13 patches cut from one gastric biopsy slide · 300×300 px each.
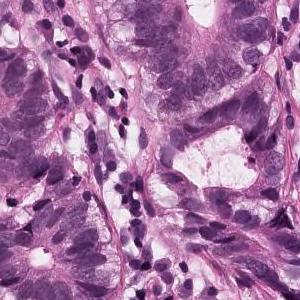
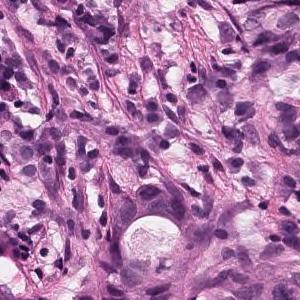
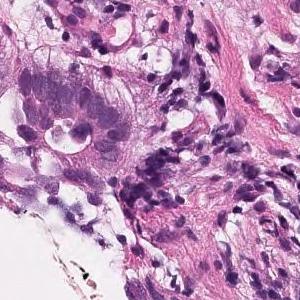
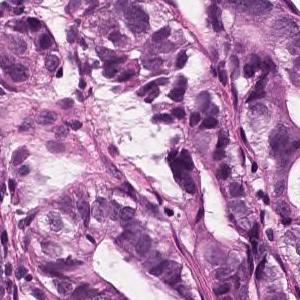
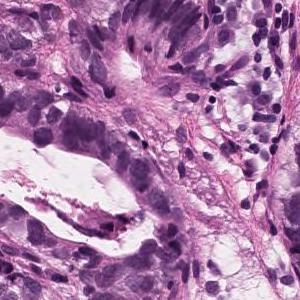
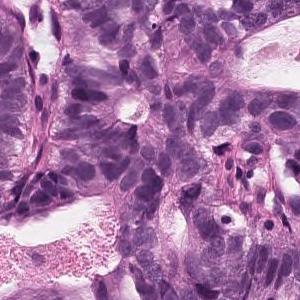
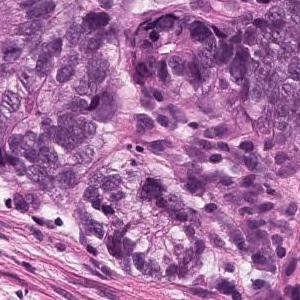
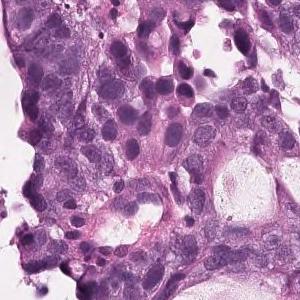
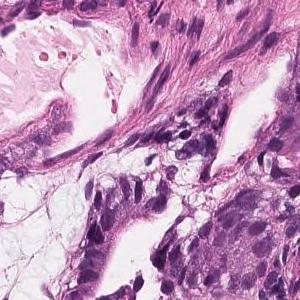
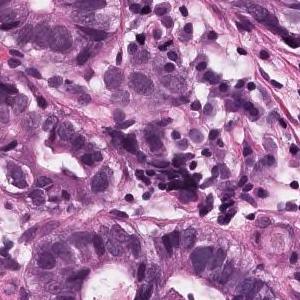
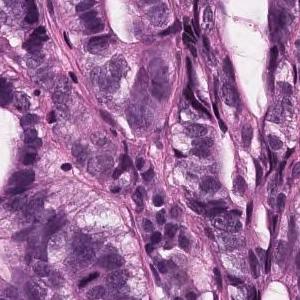
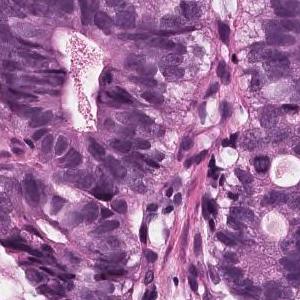
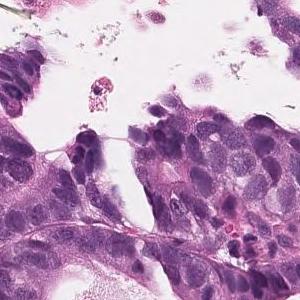
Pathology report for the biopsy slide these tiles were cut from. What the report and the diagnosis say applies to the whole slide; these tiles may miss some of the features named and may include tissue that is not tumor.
On the superficial epithelium, tumor tissue consisting of large, irregular glandular ducts partially fused and infiltrated is observed. Well to moderately differentiated tubular adenocarcinoma (well differentiated tubular adenocarcinoma, moderately differentiated tubular adenocarcinoma)
Histologic type: Well to moderately differentiated tubular adenocarcinoma.
